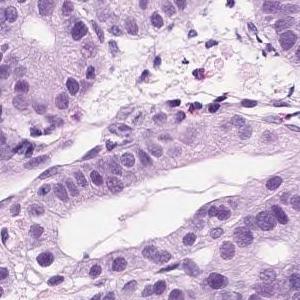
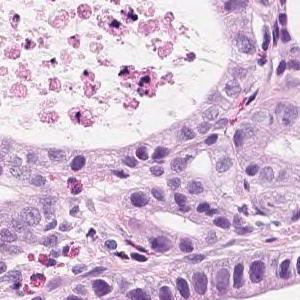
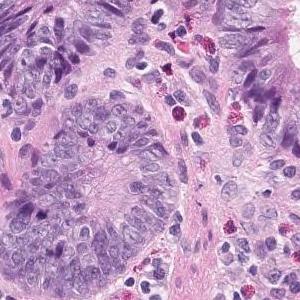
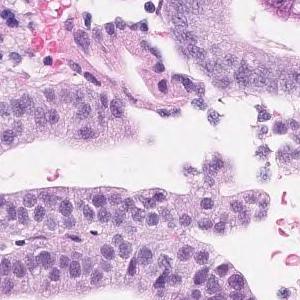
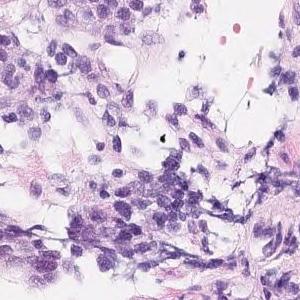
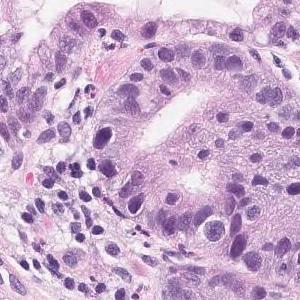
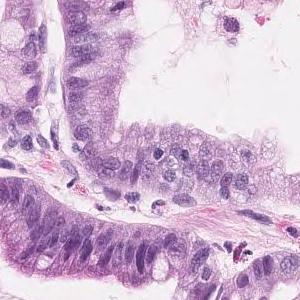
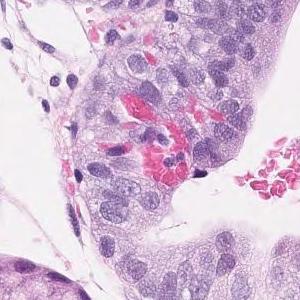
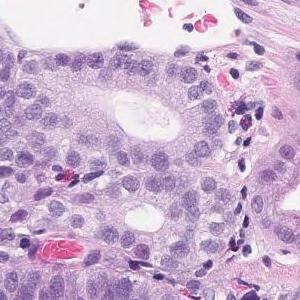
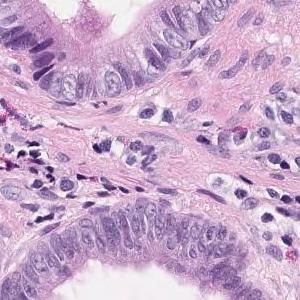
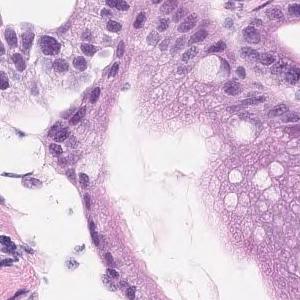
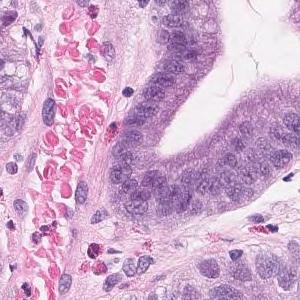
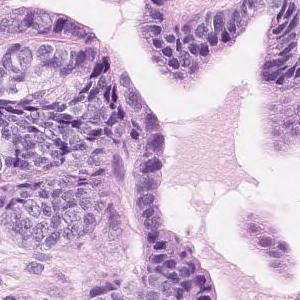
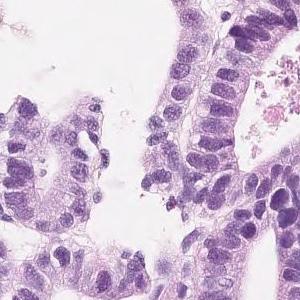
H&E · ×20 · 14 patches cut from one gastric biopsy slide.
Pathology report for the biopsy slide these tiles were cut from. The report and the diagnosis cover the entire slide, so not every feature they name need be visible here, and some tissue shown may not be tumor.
Short atypical epithelium with swelling of the nucleus shows proliferating, large and small irregular ductal structures. Well to moderately differentiated tubular adenocarcinoma (well differentiated tubular adenocarcinoma-moderately differentiated tubular adenocarcinoma)
Histological subtype: Well to moderately differentiated tubular adenocarcinoma.
